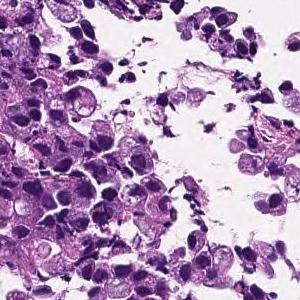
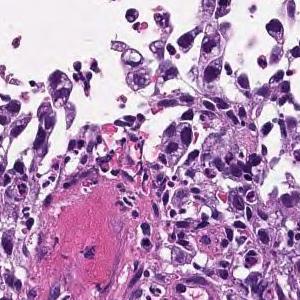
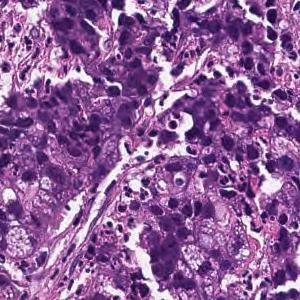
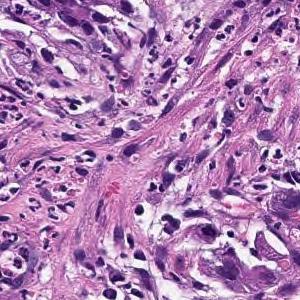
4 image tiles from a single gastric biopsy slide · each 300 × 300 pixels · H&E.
Diagnostic report for the slide these tiles come from. What the report and the diagnosis say applies to the whole slide; these tiles may miss some of the features named and may include tissue that is not tumor.
Medium to small, irregular glandular ducts are formed in the superficial epithelium, and in some cases, the glandular ducts are fused to show solid alveolar lesions and infiltrating tumor tissue is observed. Moderately to poorly differentiated adenocarcinoma.
